12 image tiles from a single gastric biopsy slide · H&E stain · 20× magnification.
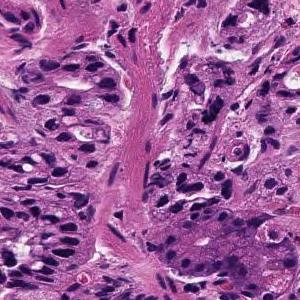
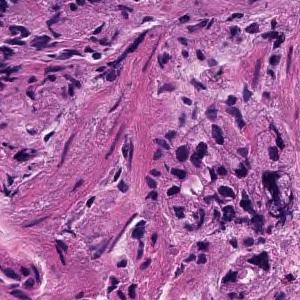
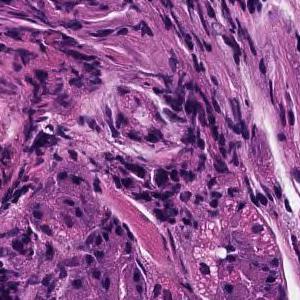
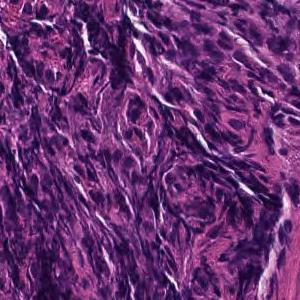
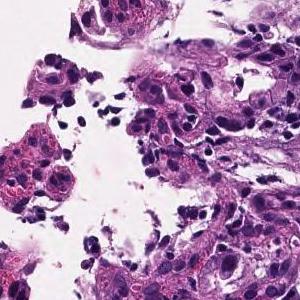
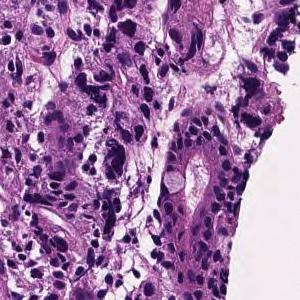
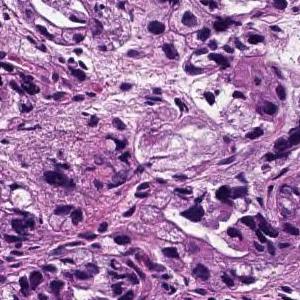
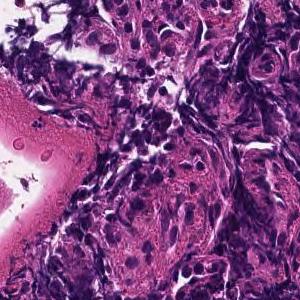
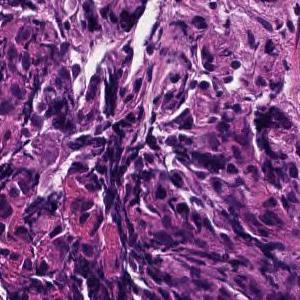
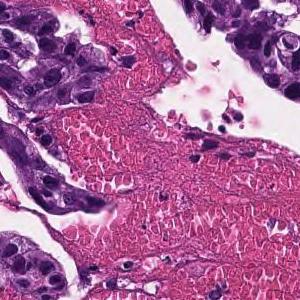
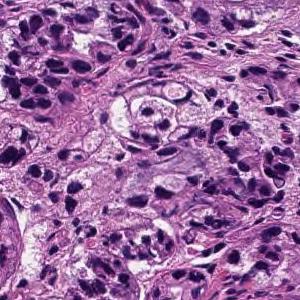
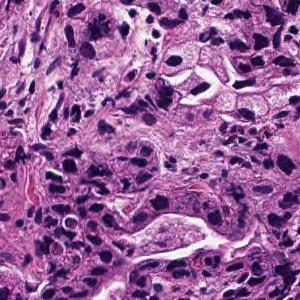
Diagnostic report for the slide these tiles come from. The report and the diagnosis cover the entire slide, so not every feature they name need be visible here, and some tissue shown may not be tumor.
In the superficial epithelium, tumor tissue that invades by forming medium-sized to small, irregular ducts is observed. moderately differentiated tubular adenocarcinoma.
